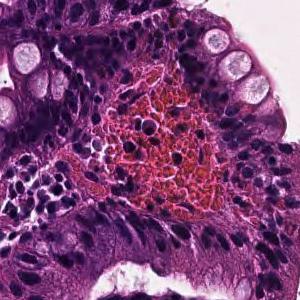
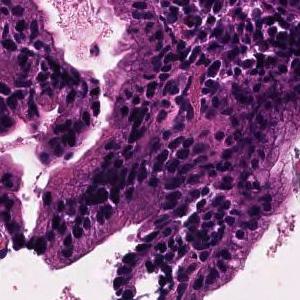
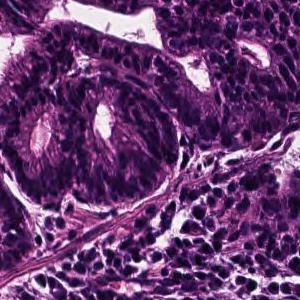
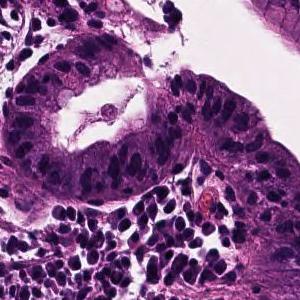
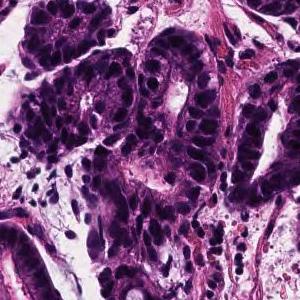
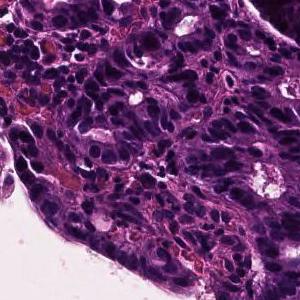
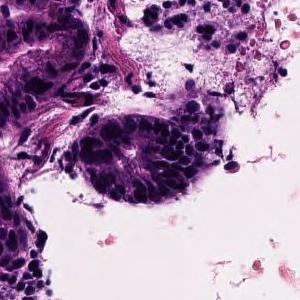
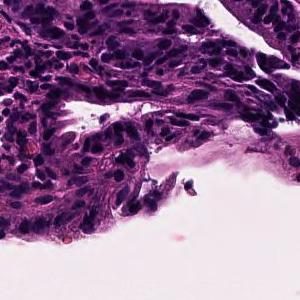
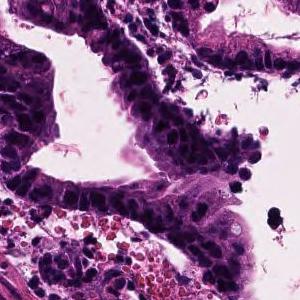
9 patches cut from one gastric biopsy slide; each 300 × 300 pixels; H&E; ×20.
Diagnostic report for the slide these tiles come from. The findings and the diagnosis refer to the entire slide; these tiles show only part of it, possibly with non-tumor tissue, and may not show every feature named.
In the superficial epithelium, tumor tissue infiltrated by partial fusion of medium-sized to small, irregular glandular ducts is observed. moderately differentiated tubular adenocarcinoma
